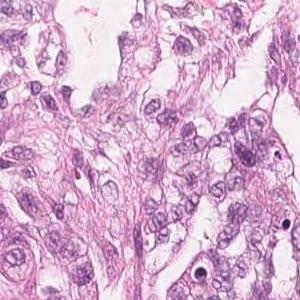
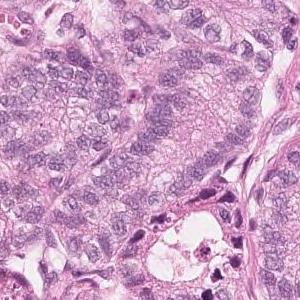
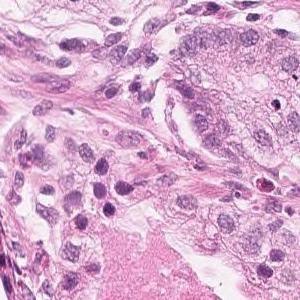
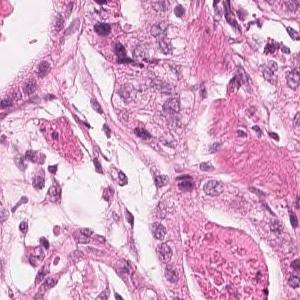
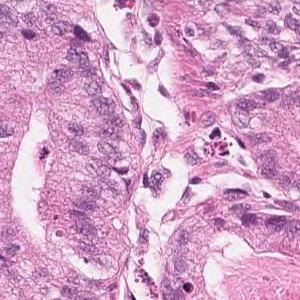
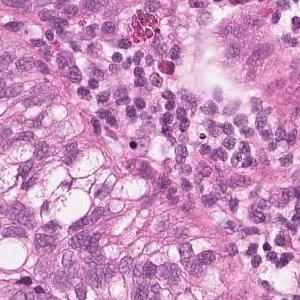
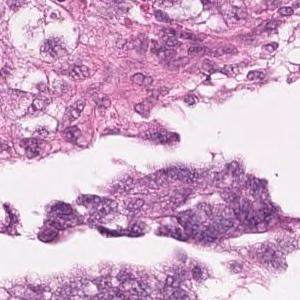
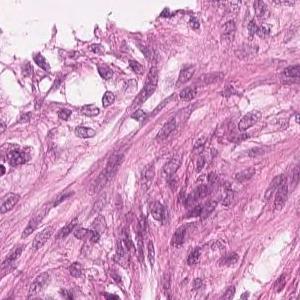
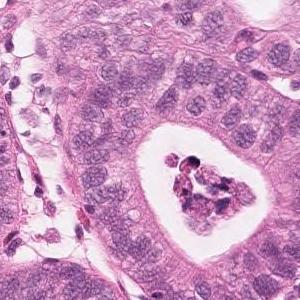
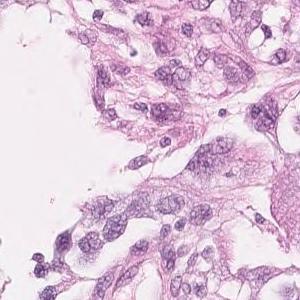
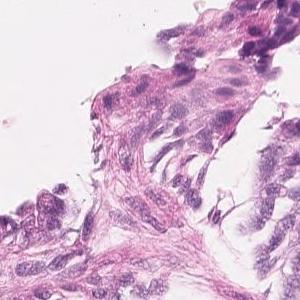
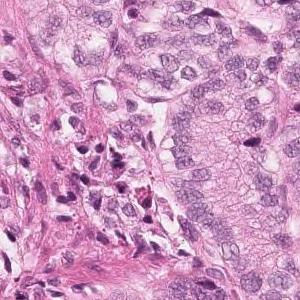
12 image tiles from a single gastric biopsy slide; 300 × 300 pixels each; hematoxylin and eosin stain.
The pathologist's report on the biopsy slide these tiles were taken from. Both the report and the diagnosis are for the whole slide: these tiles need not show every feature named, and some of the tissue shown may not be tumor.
Highly columnar epithelium with disordered nuclear localization proliferates showing fusion ductal construction. moderately differentiated tubular adenocarcinoma
